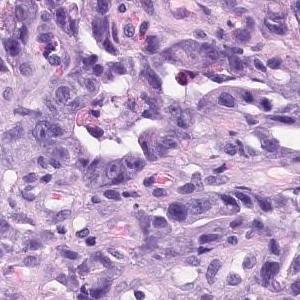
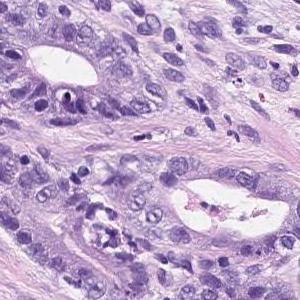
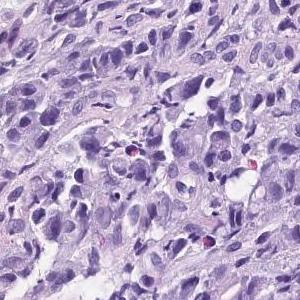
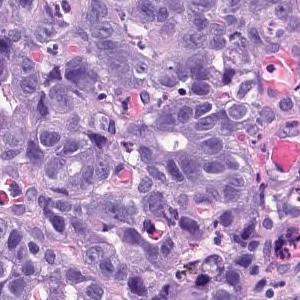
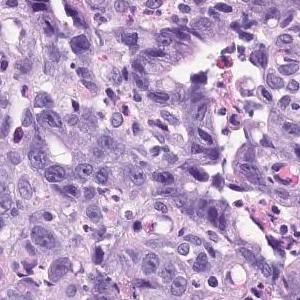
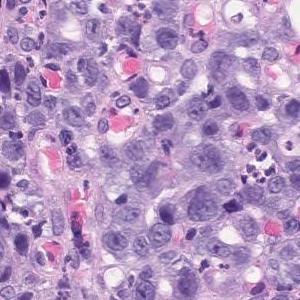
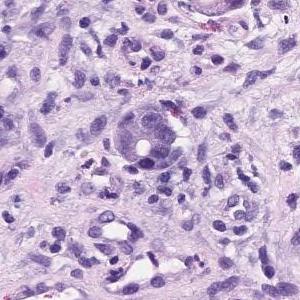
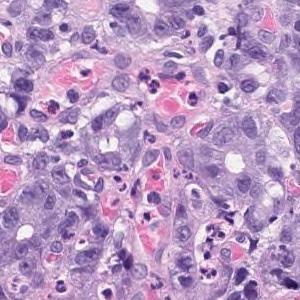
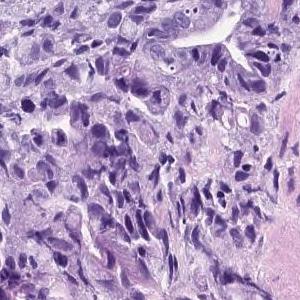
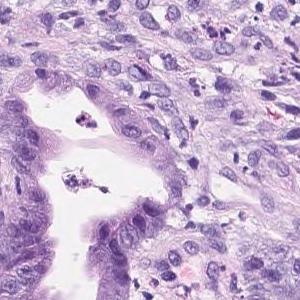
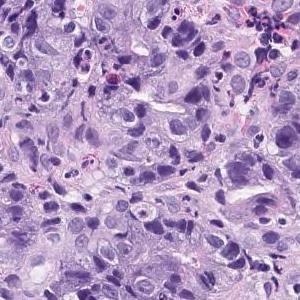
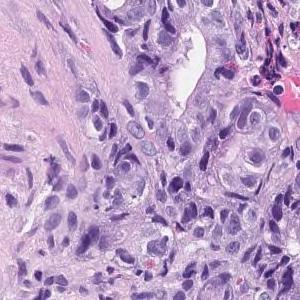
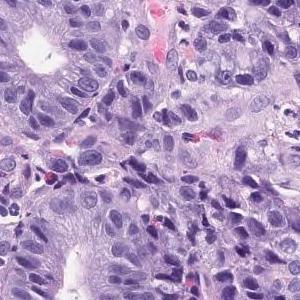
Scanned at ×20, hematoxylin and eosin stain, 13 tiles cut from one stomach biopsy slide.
Diagnostic report for the slide these tiles come from. The report describes the whole slide, diagnosis included: not every finding it names need appear in these tiles, which may also show non-tumor tissue.
In the superficial epithelium, tumor tissue that invades by forming medium-sized to small, irregular ducts is observed. Moderately differentiated adenocarcinoma.
Classified as moderately differentiated tubular adenocarcinoma.
